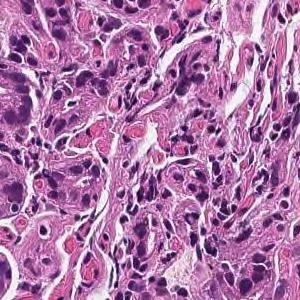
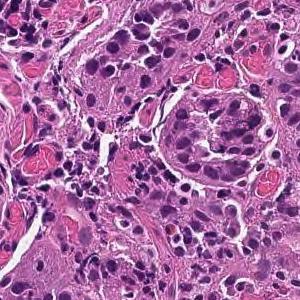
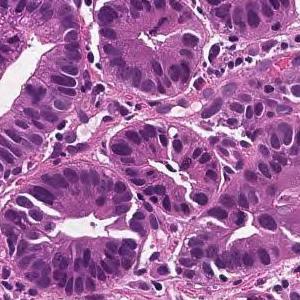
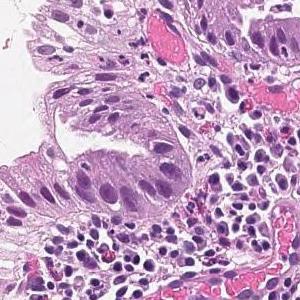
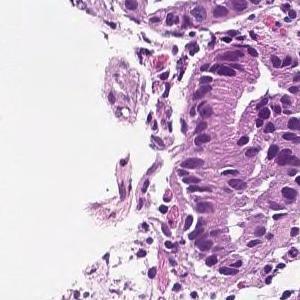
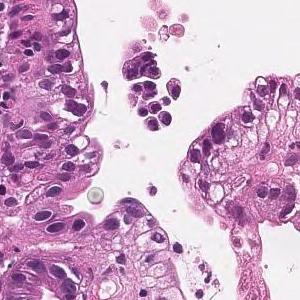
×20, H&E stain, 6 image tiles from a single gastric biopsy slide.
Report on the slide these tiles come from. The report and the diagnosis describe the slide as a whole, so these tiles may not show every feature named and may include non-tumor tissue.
On the superficial epithelium, tumor tissue consisting of large irregular glandular ducts partially fused and infiltrated is observed. Well to moderately differentiated tubular adenocarcinoma (well differentiated tubular adenocarcinoma, moderately differentiated tubular adenocarcinoma)
Histologic type: Well to moderately differentiated tubular adenocarcinoma.
